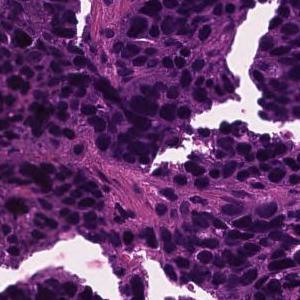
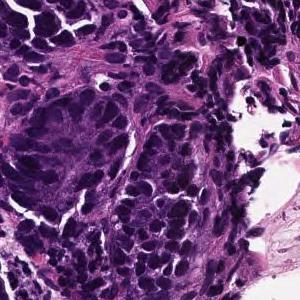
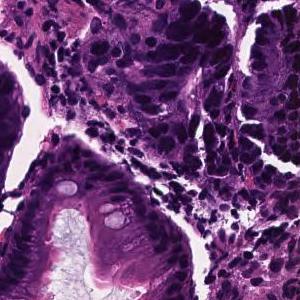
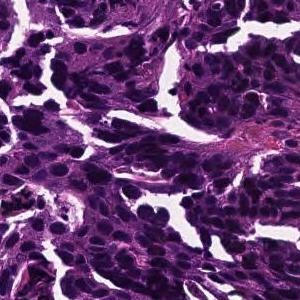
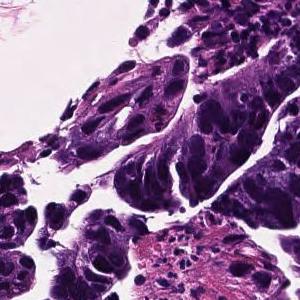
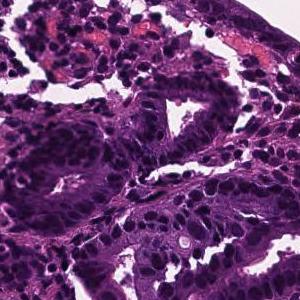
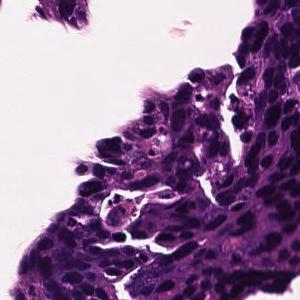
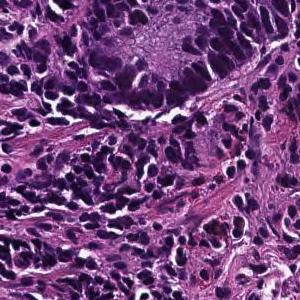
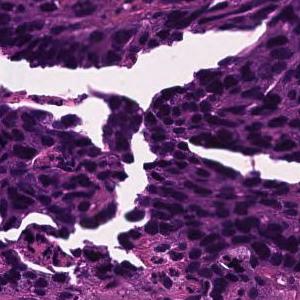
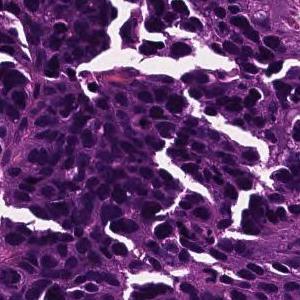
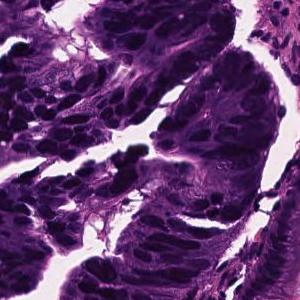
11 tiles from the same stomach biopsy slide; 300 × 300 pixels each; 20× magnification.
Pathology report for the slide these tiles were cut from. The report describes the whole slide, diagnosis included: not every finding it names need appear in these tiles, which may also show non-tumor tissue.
In the superficial epithelium, medium to small irregular gland ducts are formed, and in some cases, the ducts are fused to show solid alveolar lesions and infiltrating tumor tissue is observed. moderately differentiated tubular adenocarcinoma or poorly differentiated adenocarcinoma, solid-type (poorly differentiated adenocarcinoma, solid type)
The dataset labels this slide poorly differentiated adenocarcinoma, solid type. This name comes from the Japanese Classification of Gastric Carcinoma; the WHO 2019 classification calls it tubular adenocarcinoma, poorly differentiated.
